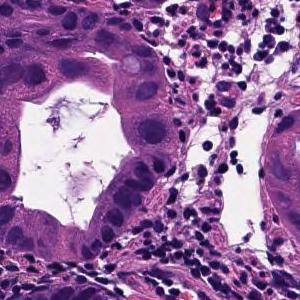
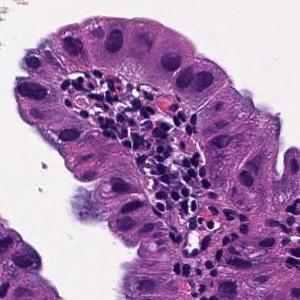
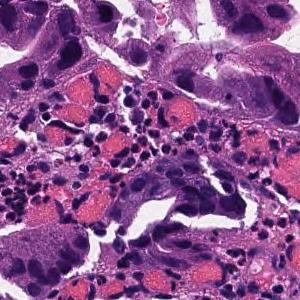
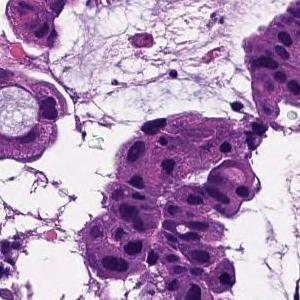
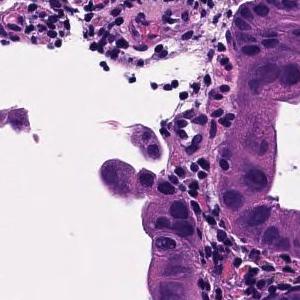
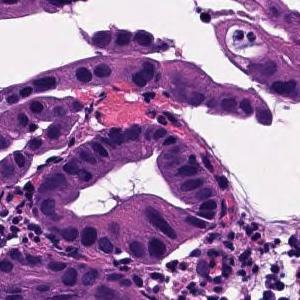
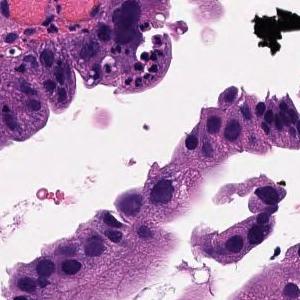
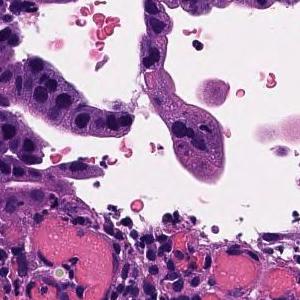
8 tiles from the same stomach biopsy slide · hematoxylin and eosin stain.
Pathology report for the slide these tiles were cut from. The report describes the whole slide, diagnosis included: not every finding it names need appear in these tiles, which may also show non-tumor tissue.
Tumor tissue consisting of large papillary structures is found in the superficial epithelium. Papillary adenocarcinoma.
